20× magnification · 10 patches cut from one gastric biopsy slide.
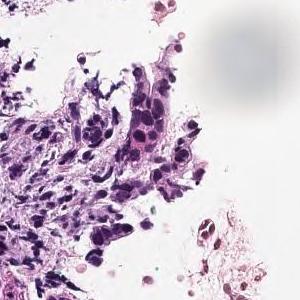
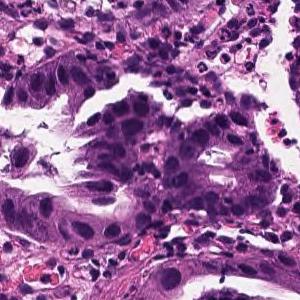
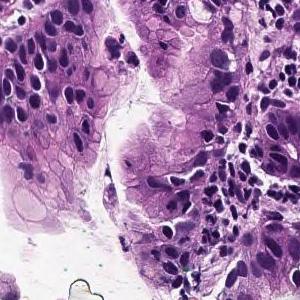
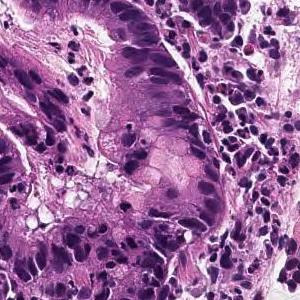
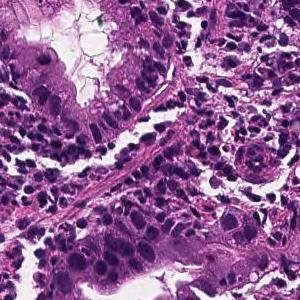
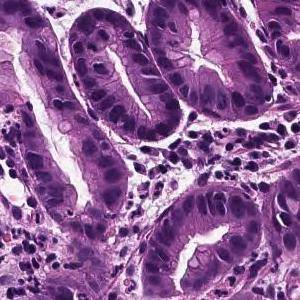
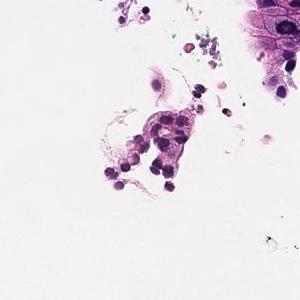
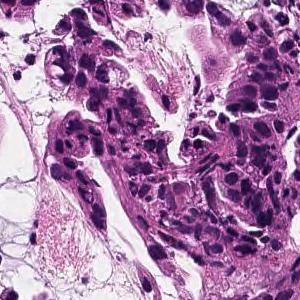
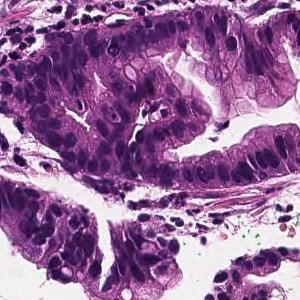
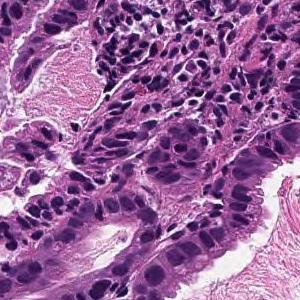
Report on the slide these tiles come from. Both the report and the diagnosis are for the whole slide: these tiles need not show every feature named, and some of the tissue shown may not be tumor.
Tumor cells are large, highly columnar, large club-shaped nuclei, and are associated with chromatin aggregation. Papillary adenocarcinoma.
